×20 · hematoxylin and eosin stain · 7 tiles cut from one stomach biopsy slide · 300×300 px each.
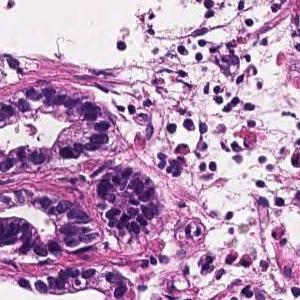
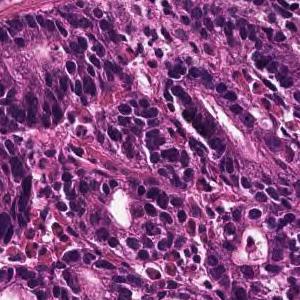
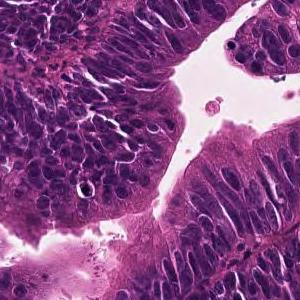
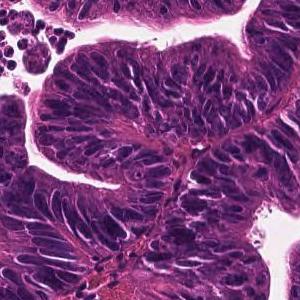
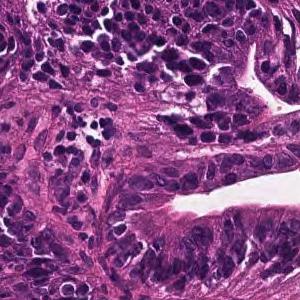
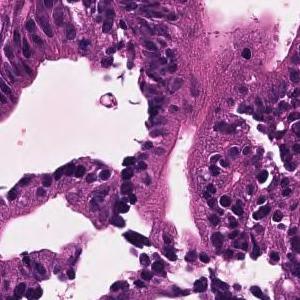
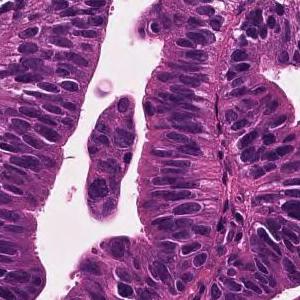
Diagnostic report for the slide these tiles come from. The report describes the whole slide, diagnosis included: not every finding it names need appear in these tiles, which may also show non-tumor tissue.
A large irregular tubular structure is exhibited in the epithelium, and tumor tissue that partially fuses and infiltrates and proliferates is observed. Large columnar tumor cells exhibit enlarged nucleus, hyperchromatism, and mitotic figures. Well differentiated tubular adenocarcinoma
